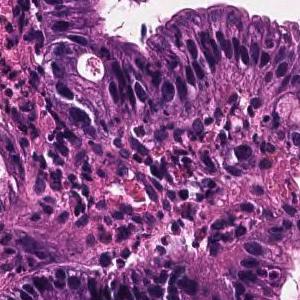
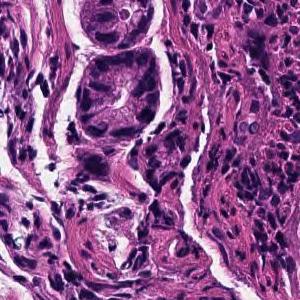
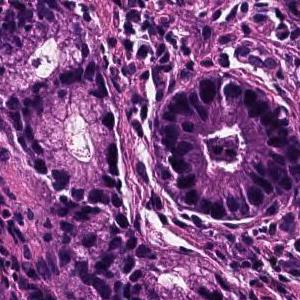
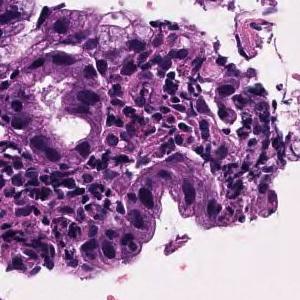
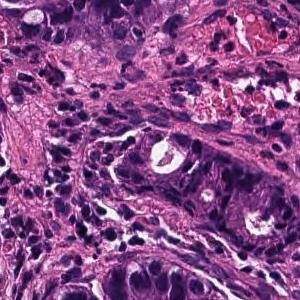
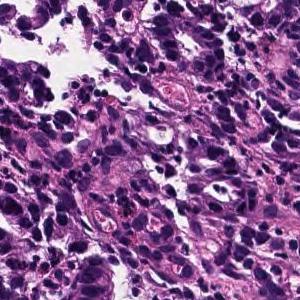
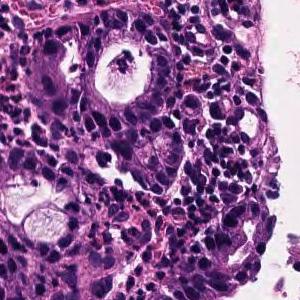
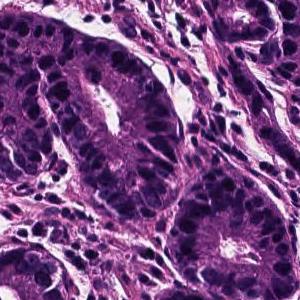
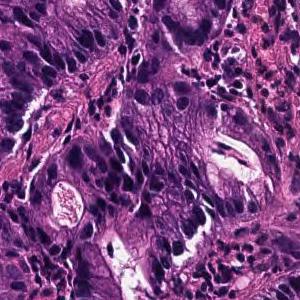
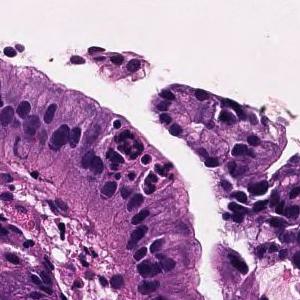
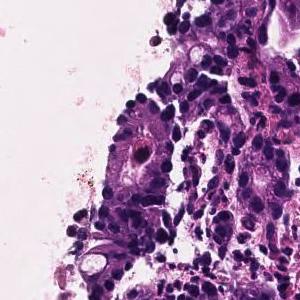
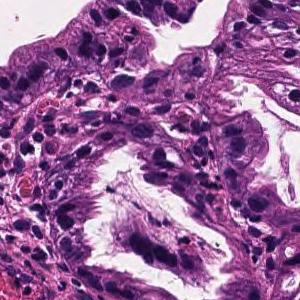
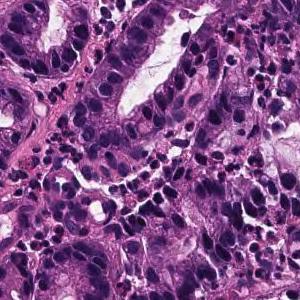
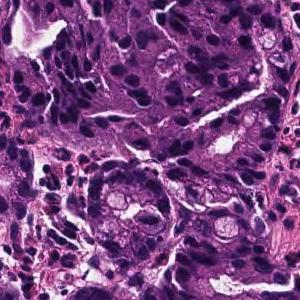
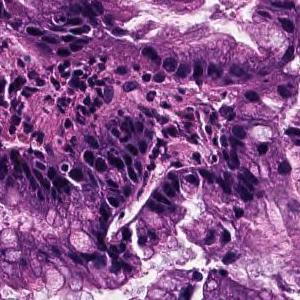
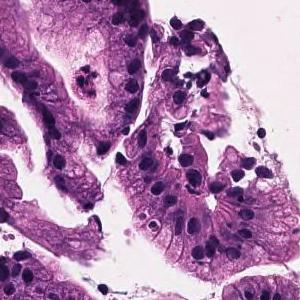
16 tiles cut from one stomach biopsy slide, 300×300 px each.
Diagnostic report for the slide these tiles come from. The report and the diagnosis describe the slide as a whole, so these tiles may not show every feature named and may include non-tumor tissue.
From the superficial epithelium to the muscularis mucosae, tumor tissue consisting of medium-sized and irregular glandular ducts infiltrating is observed. Well differentiated tubular adenocarcinoma
